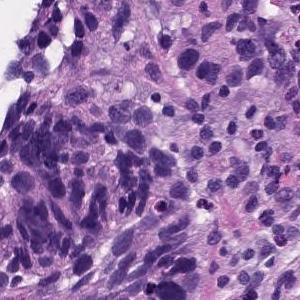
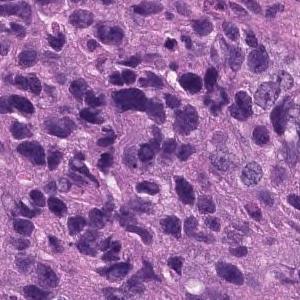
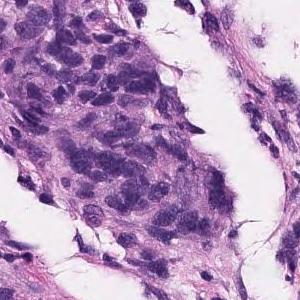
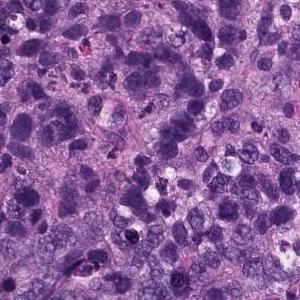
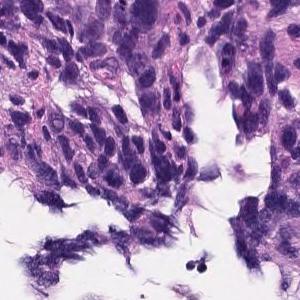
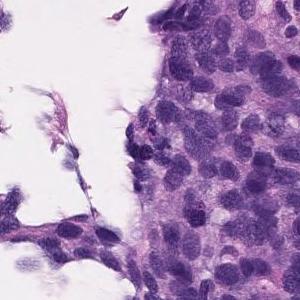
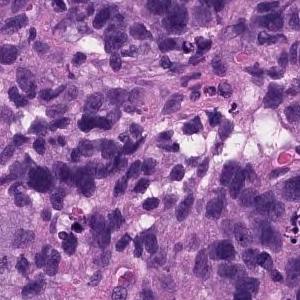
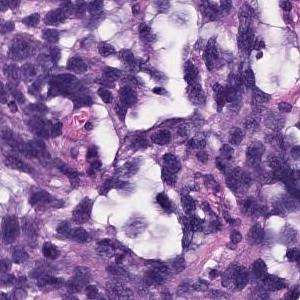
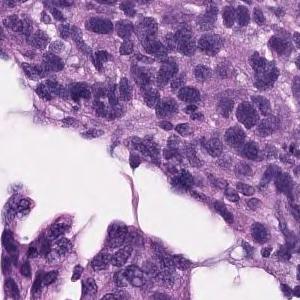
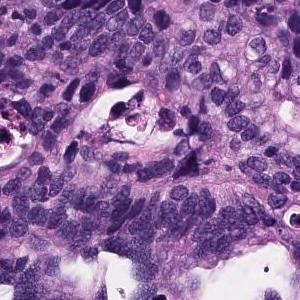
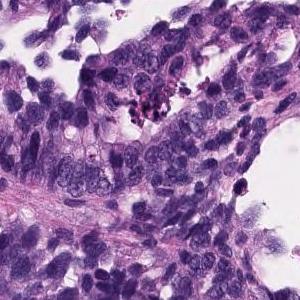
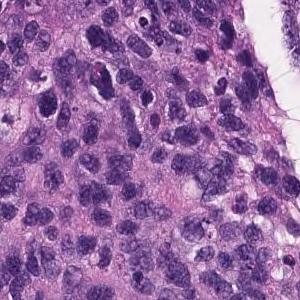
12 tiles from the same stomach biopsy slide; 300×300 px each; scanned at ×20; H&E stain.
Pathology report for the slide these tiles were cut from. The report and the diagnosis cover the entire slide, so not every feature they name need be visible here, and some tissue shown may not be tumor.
Atypical l cells with atypical nuclei under the mucosa growing in isolation and scattered. Poorly differentiated adenocarcinoma (poorly differentiated adenocarcinoma, non-solid type)
Tumor subtype: poorly differentiated adenocarcinoma, non-solid type.
The non-solid type named here is a Japanese Classification of Gastric Carcinoma category.
